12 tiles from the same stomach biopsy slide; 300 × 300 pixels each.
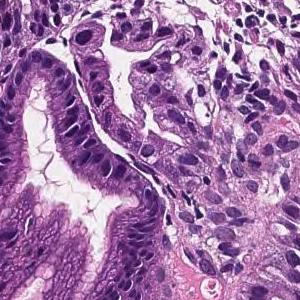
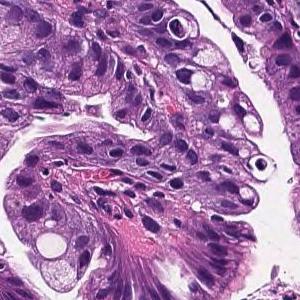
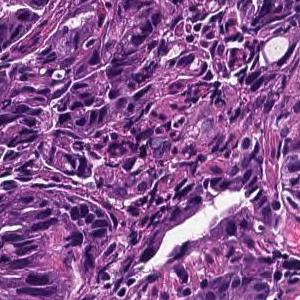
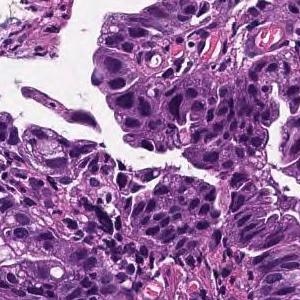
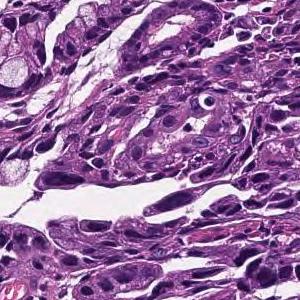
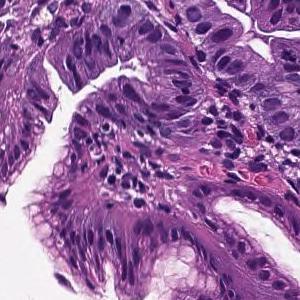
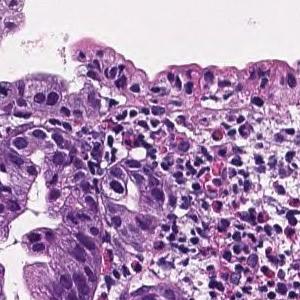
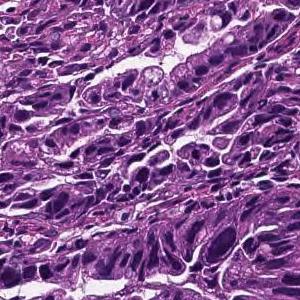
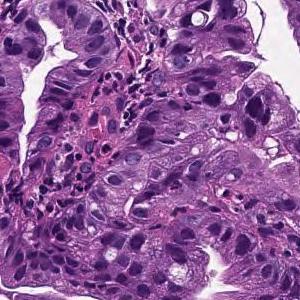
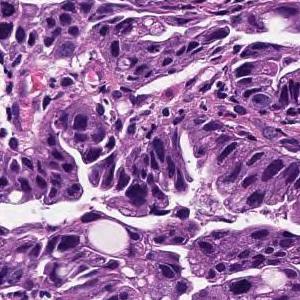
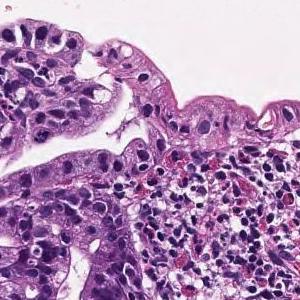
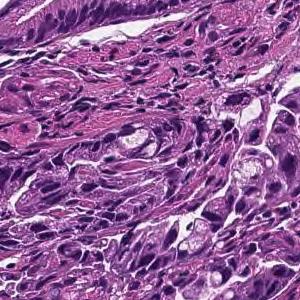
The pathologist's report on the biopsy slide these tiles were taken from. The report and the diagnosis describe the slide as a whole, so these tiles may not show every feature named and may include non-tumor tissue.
Tumor cells are large, highly columnar, large club-shaped nuclei, and are associated with chromatin aggregation. Papillary adenocarcinoma.
